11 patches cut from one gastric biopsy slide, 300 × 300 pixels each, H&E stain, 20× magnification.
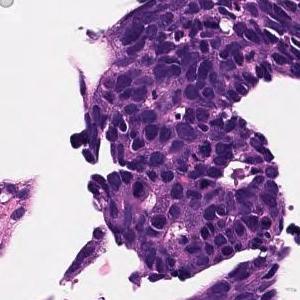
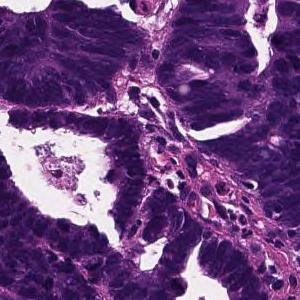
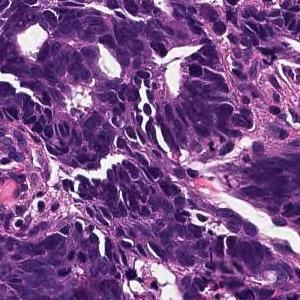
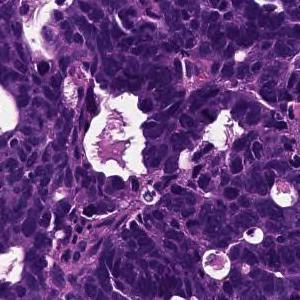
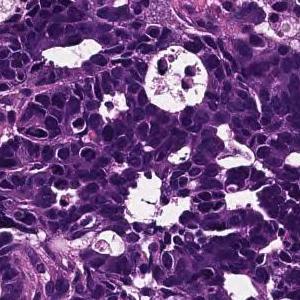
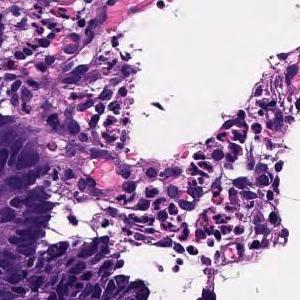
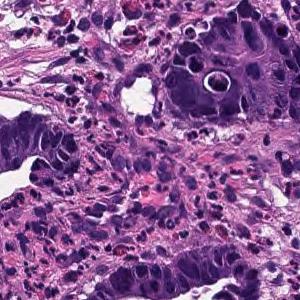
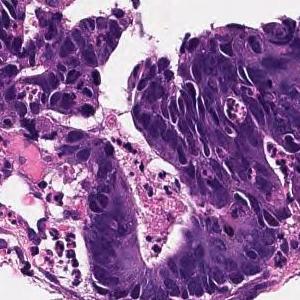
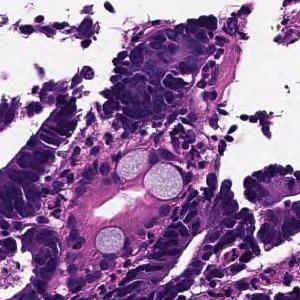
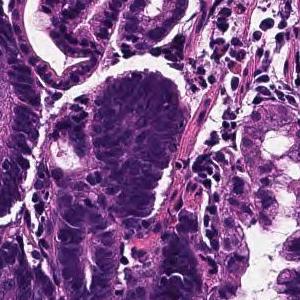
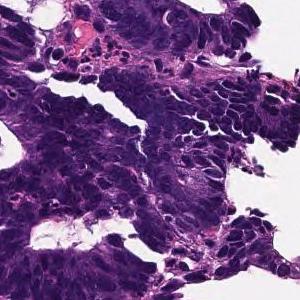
The pathologist's report on the biopsy slide these tiles were taken from. Both the report and the diagnosis are for the whole slide: these tiles need not show every feature named, and some of the tissue shown may not be tumor.
In the superficial epithelium, tumor tissue that invades by forming medium-sized to small, irregular ducts is observed. moderately differentiated tubular adenocarcinoma.
